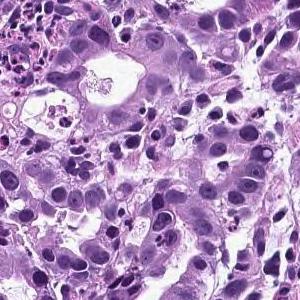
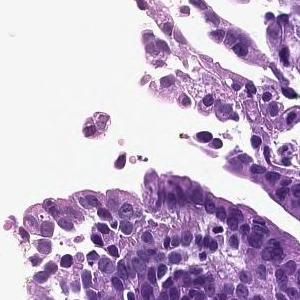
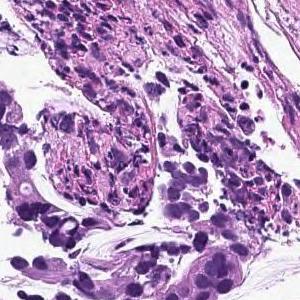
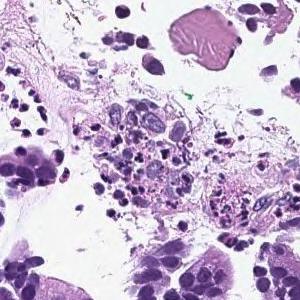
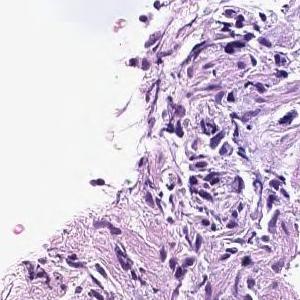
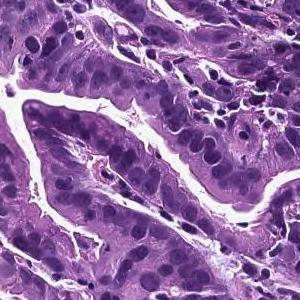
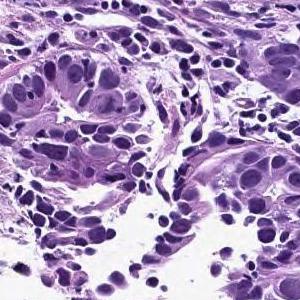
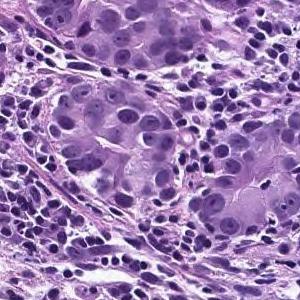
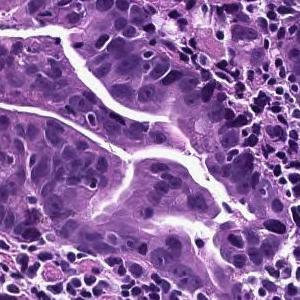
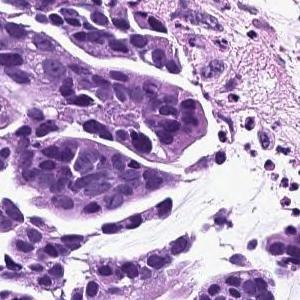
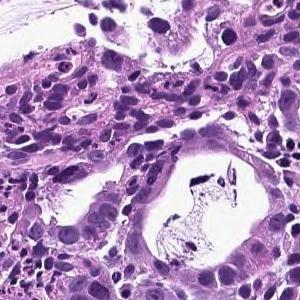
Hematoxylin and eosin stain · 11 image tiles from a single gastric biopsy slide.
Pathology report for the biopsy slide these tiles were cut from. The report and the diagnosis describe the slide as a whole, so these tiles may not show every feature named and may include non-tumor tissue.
In the superficial epithelium, tumor tissue that invades by forming medium-sized to small, irregular ducts is observed. moderately differentiated tubular adenocarcinoma.
